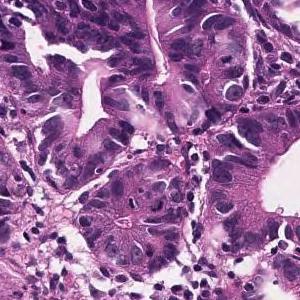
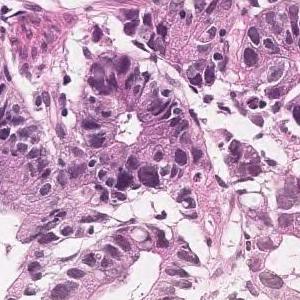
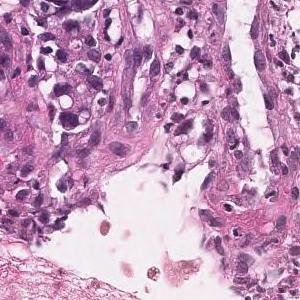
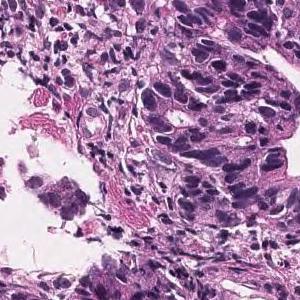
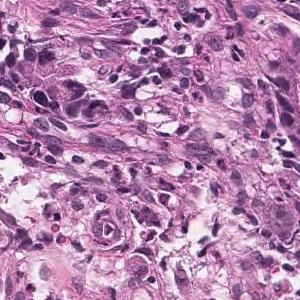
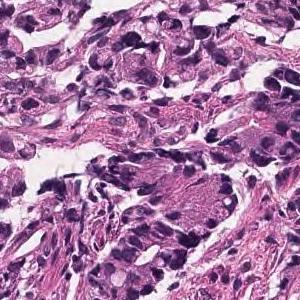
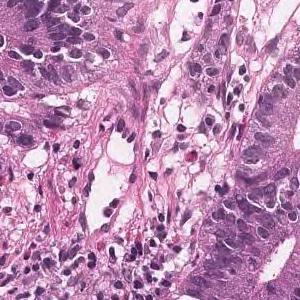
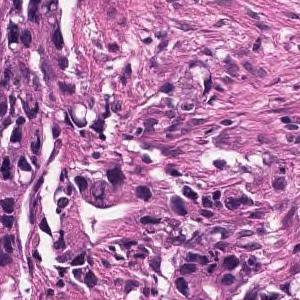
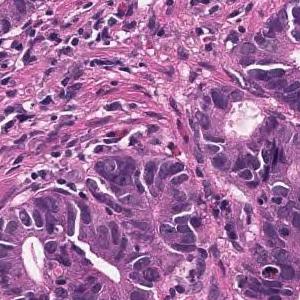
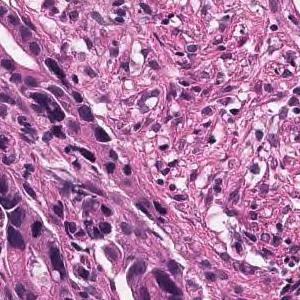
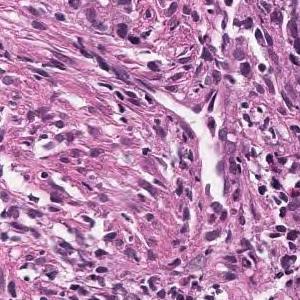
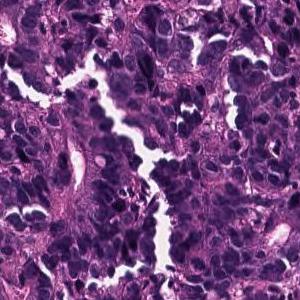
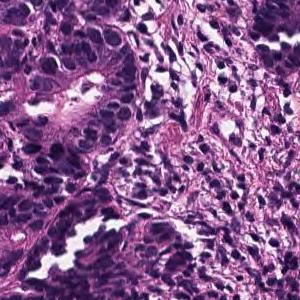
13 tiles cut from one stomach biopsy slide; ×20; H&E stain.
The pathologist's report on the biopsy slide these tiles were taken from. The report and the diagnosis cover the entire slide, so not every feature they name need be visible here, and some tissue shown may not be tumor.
In the superficial epithelium, tumor tissue is found in which medium-sized irregular gland ducts fuse with each other and infiltrate. moderately differentiated tubular adenocarcinoma
